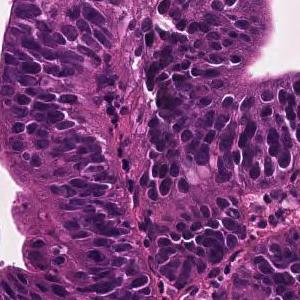
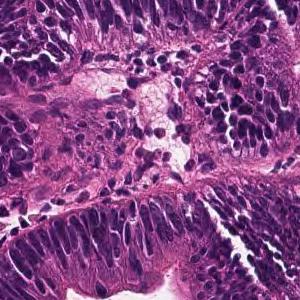
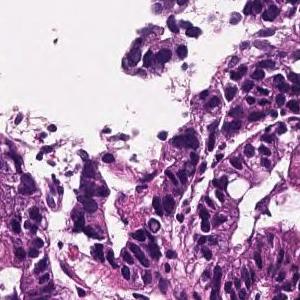
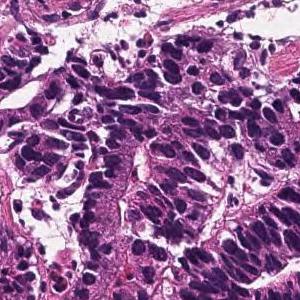
Hematoxylin and eosin stain, 20× magnification, 4 patches cut from one gastric biopsy slide, 300 × 300 pixels each.
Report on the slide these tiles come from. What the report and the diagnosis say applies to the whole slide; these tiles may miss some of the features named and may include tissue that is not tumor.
A large irregular tubular structure is exhibited in the epithelium, and tumor tissue that partially fuses and infiltrates and proliferates is observed. Large columnar tumor cells exhibit enlarged nucleus, hyperchromatism, and mitotic figures. Well differentiated tubular adenocarcinoma
